H&E; 9 tiles cut from one stomach biopsy slide; each 300 × 300 pixels.
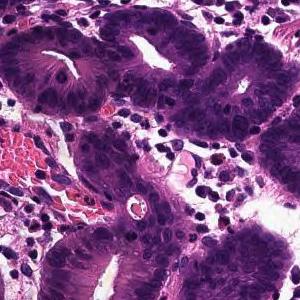
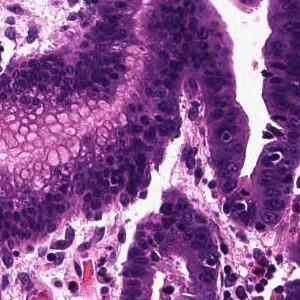
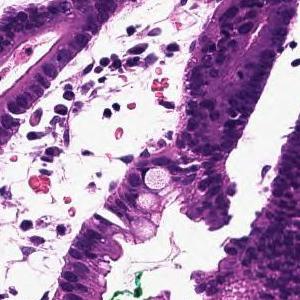
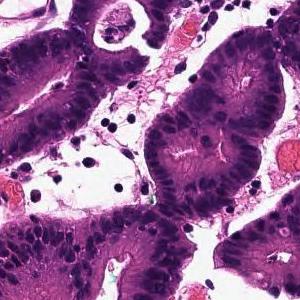
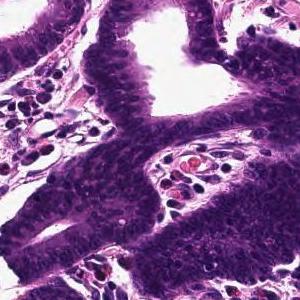
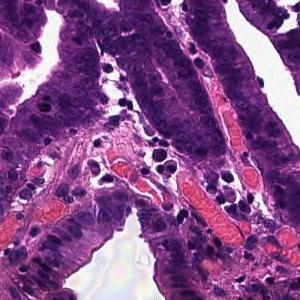
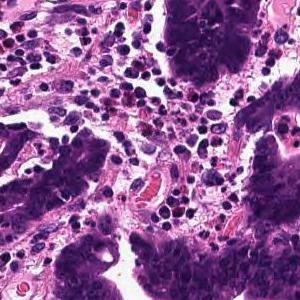
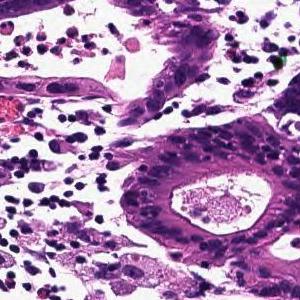
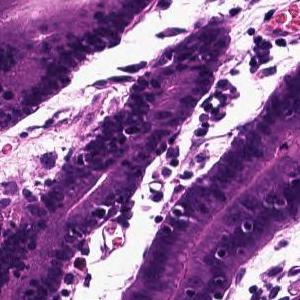
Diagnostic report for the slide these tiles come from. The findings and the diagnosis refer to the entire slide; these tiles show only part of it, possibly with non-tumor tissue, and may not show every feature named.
Tumor tissue that infiltrates by forming large papillary or large irregular glandular ducts is observed confined to the mucosa. Papillary adenocarcinoma
